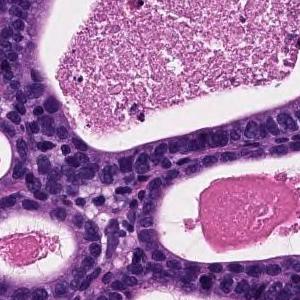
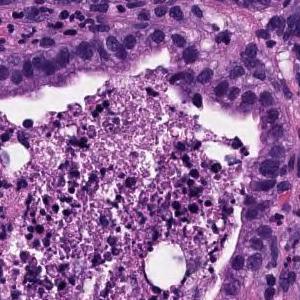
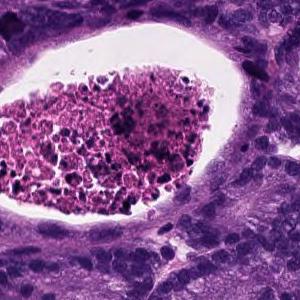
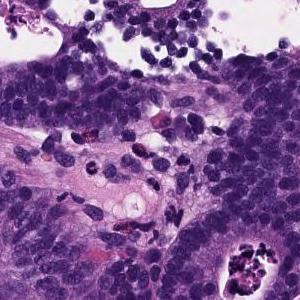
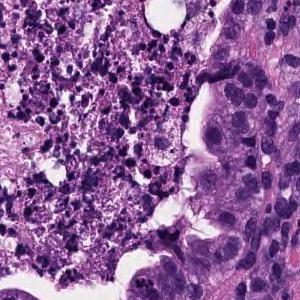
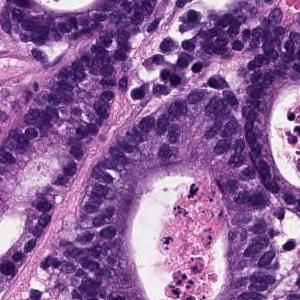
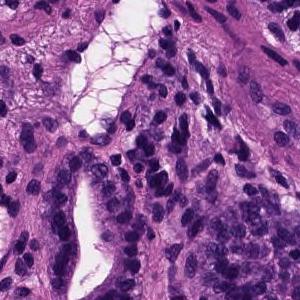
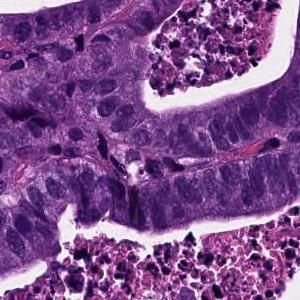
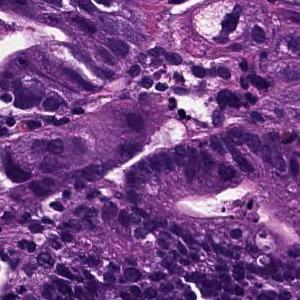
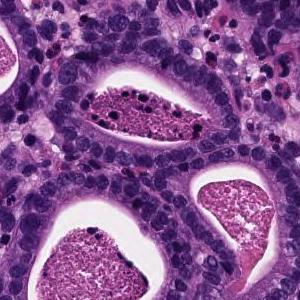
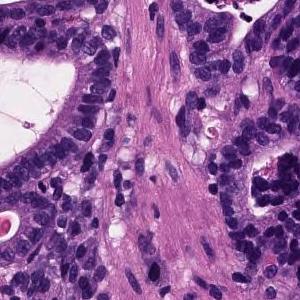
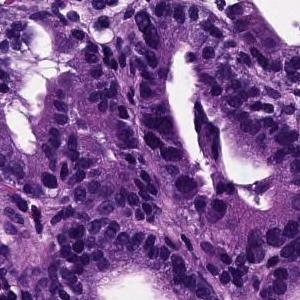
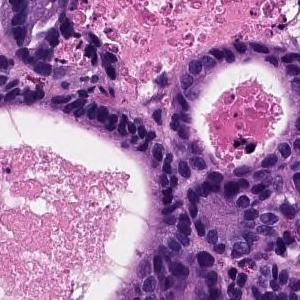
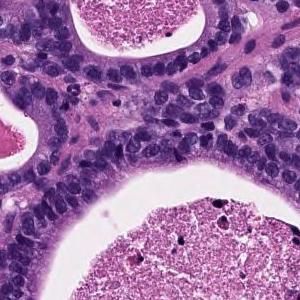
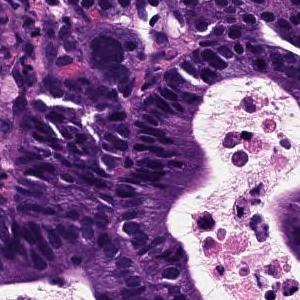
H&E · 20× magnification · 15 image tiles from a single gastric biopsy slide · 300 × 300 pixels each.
Report on the slide these tiles come from. What the report and the diagnosis say applies to the whole slide; these tiles may miss some of the features named and may include tissue that is not tumor.
From the superficial epithelium to the muscularis mucosae, tumor tissue consisting of medium-sized and irregular glandular ducts infiltrating is observed. Well differentiated tubular adenocarcinoma
